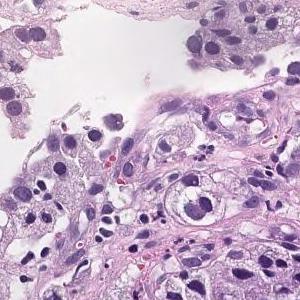
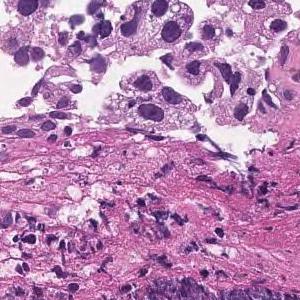
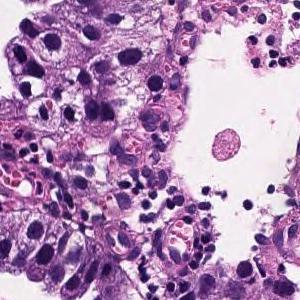
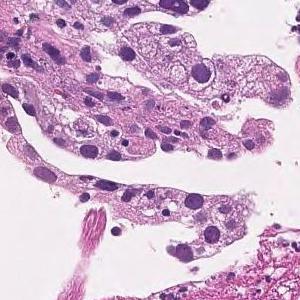
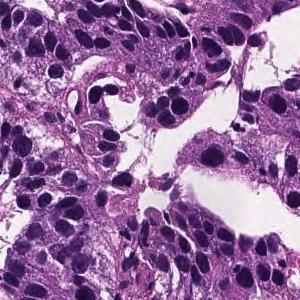
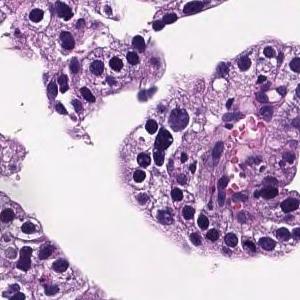
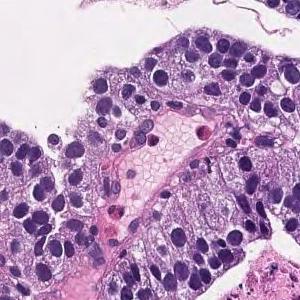
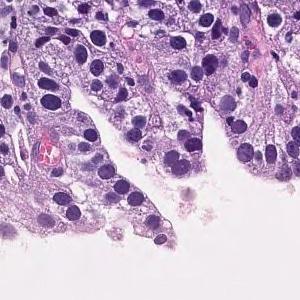
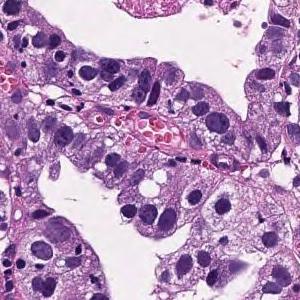
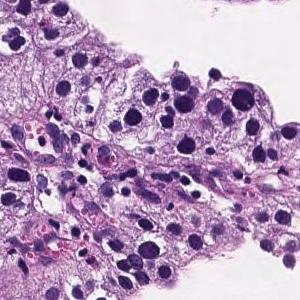
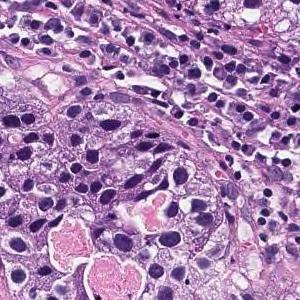
11 tiles from the same stomach biopsy slide, ×20.
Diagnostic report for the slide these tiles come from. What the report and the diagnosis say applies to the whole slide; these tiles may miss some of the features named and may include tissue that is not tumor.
On the superficial epithelium, tumor tissue that infiltrates by forming medium-sized papillary or small irregular ducts is observed. Papillary adenocarcinoma
